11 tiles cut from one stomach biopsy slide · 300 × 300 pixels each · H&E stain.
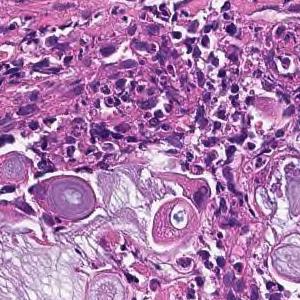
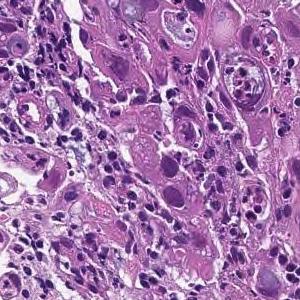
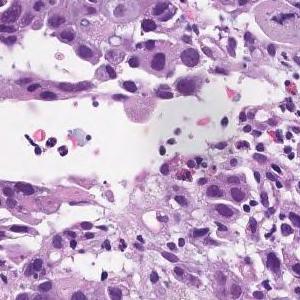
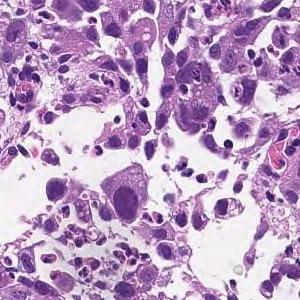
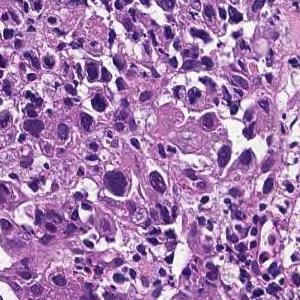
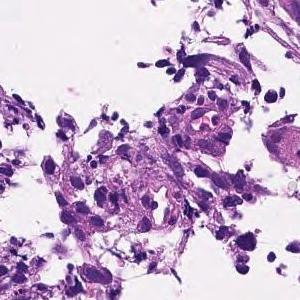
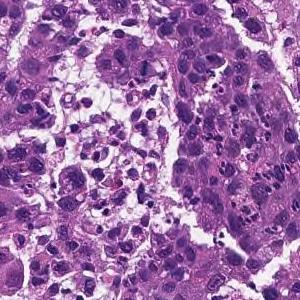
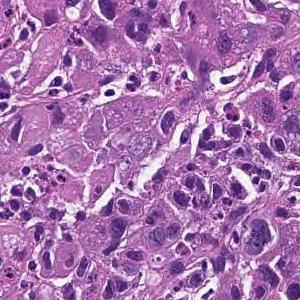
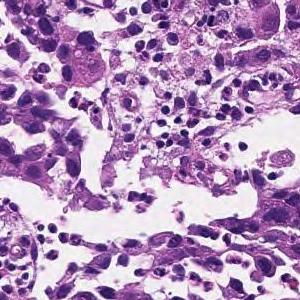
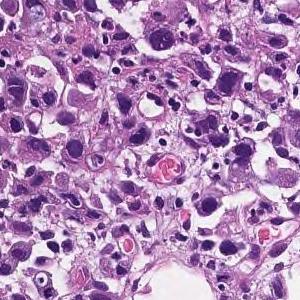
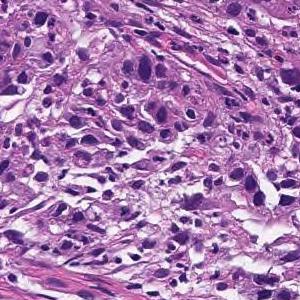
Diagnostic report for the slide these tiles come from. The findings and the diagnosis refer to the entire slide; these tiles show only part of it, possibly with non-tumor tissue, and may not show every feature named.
The superficial epithelium shows a large sheet-like shape, and some tumor tissue infiltrates with small irregular ducts. Poorly differentiated adenocarcinoma, solid-type
Subtype: Poorly differentiated adenocarcinoma, solid type, a category of the Japanese Classification of Gastric Carcinoma; in the WHO 2019 classification it is tubular adenocarcinoma, poorly differentiated.
